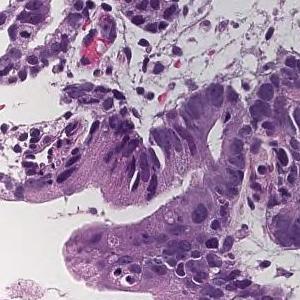
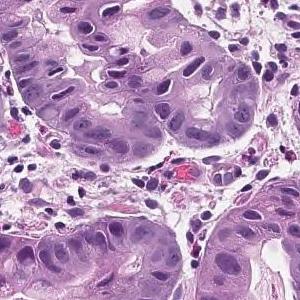
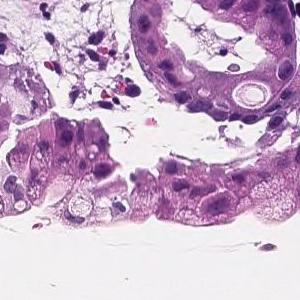
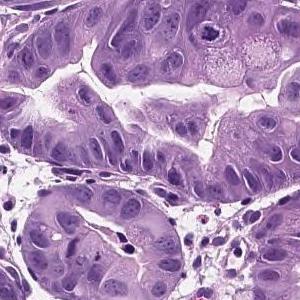
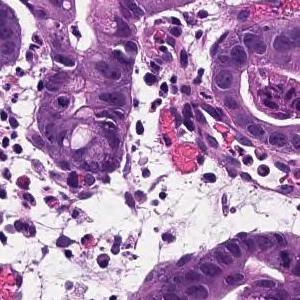
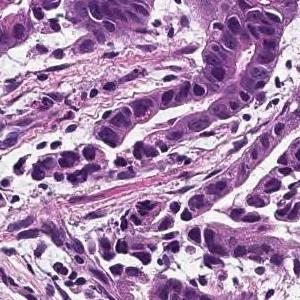
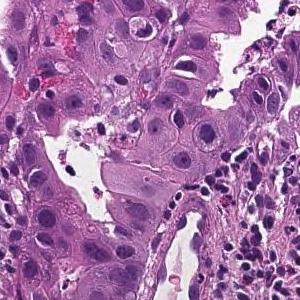
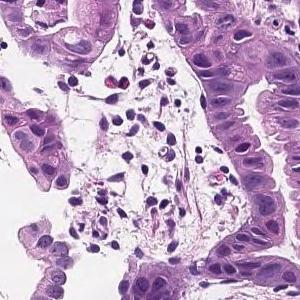
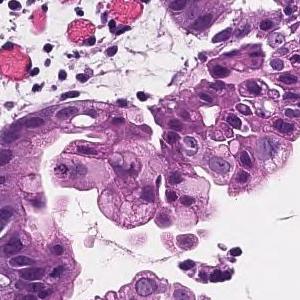
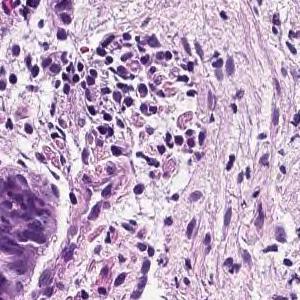
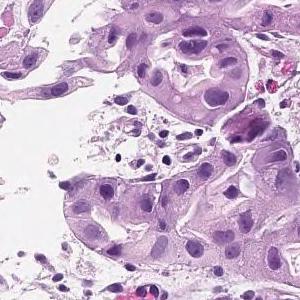
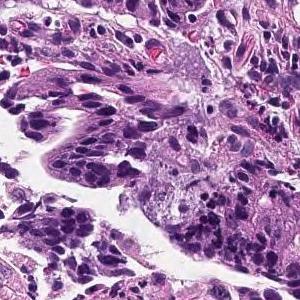
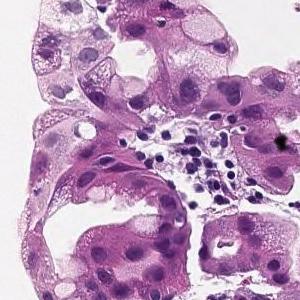
13 patches cut from one gastric biopsy slide, H&E.
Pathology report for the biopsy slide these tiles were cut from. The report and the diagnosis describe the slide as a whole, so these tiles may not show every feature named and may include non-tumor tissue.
On the superficial epithelium, tumor tissue that infiltrates by forming medium-sized papillary or small irregular ducts is observed. Papillary adenocarcinoma
